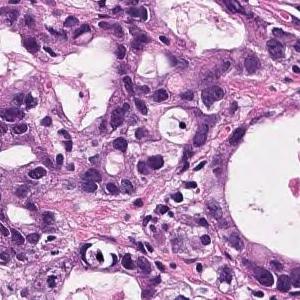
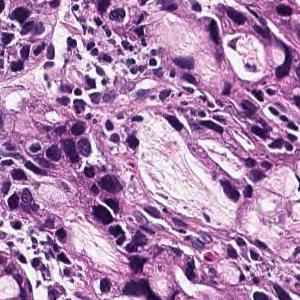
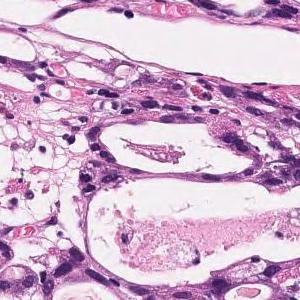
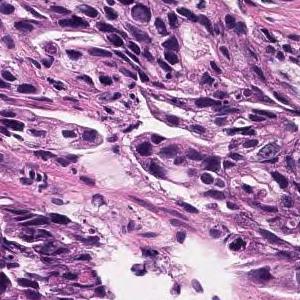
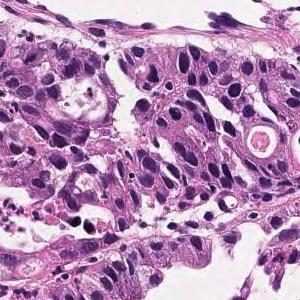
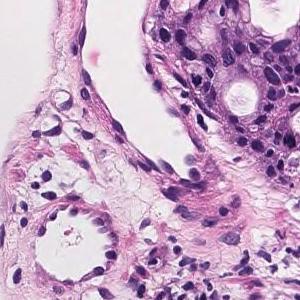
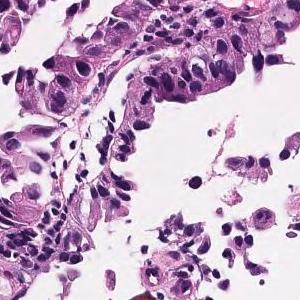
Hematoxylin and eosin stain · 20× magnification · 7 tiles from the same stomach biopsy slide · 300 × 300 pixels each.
Pathology report for the biopsy slide these tiles were cut from. The report and the diagnosis cover the entire slide, so not every feature they name need be visible here, and some tissue shown may not be tumor.
In the superficial epithelium, tumor tissue that invades by forming medium-sized to small, irregular ducts is observed. Moderately differentiated adenocarcinoma.
Classified as moderately differentiated tubular adenocarcinoma.
